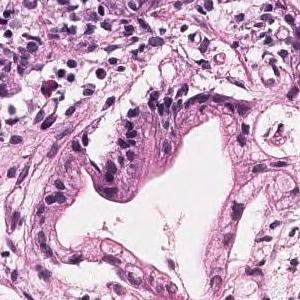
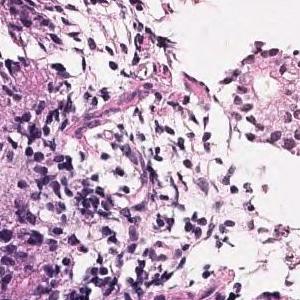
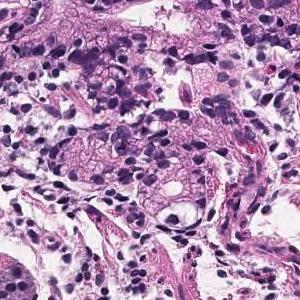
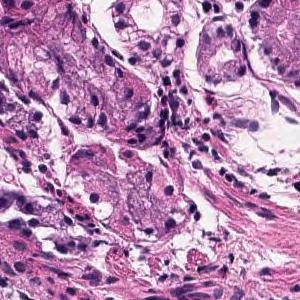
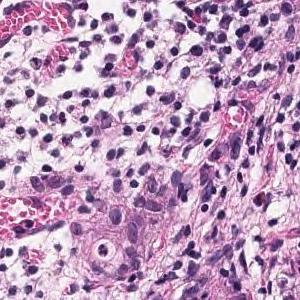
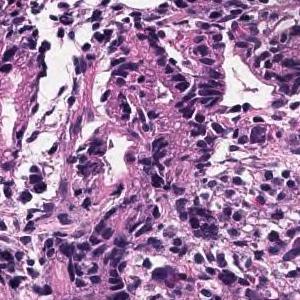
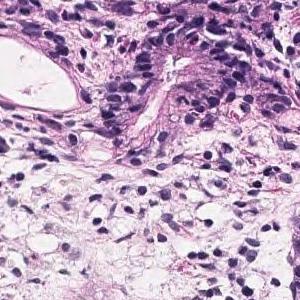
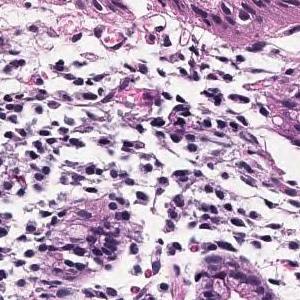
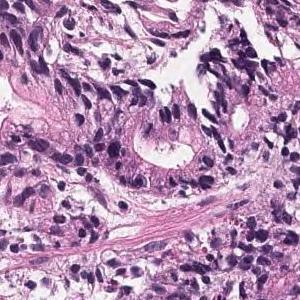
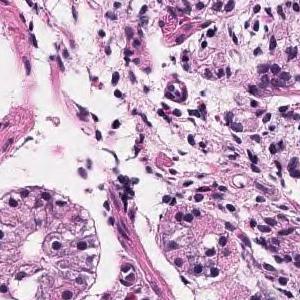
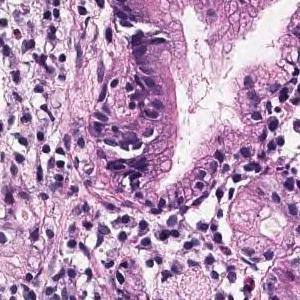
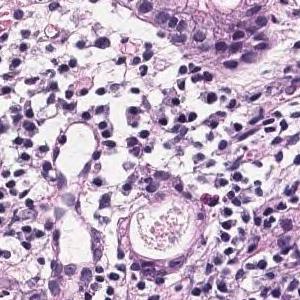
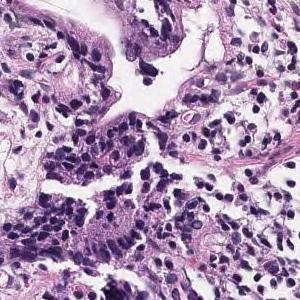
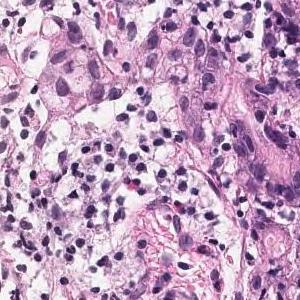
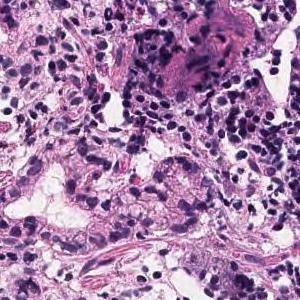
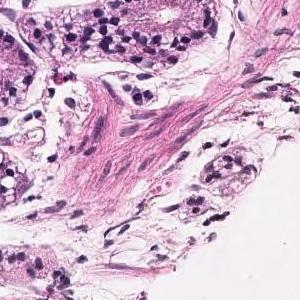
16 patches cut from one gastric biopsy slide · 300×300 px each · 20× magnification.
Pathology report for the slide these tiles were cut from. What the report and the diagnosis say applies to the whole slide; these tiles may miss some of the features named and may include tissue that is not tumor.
Tumor tissue that grows and grows is observed, showing a medium-sized round or irregular duct. moderately differentiated tubular adenocarcinoma
